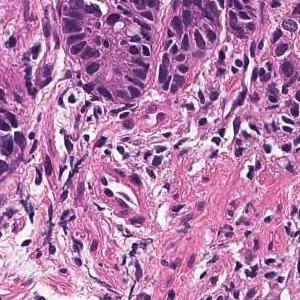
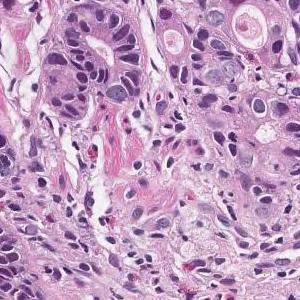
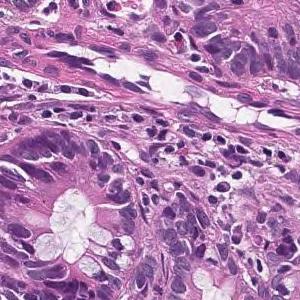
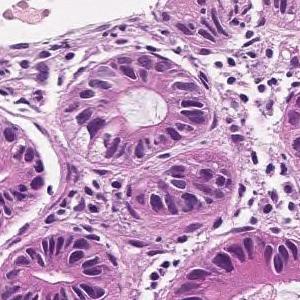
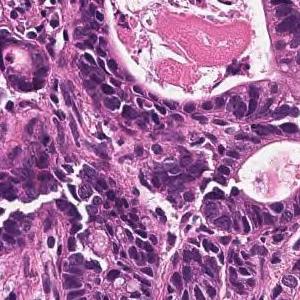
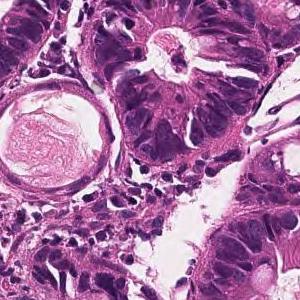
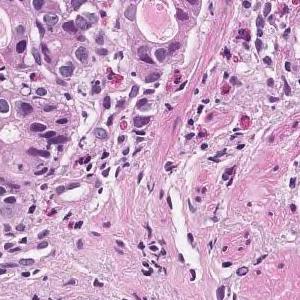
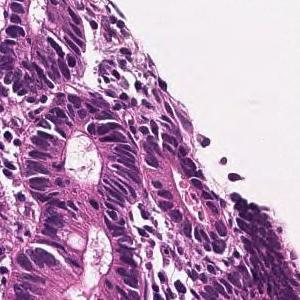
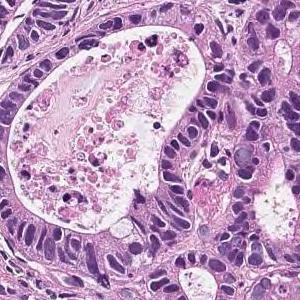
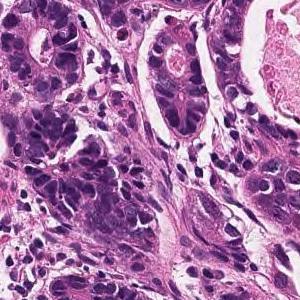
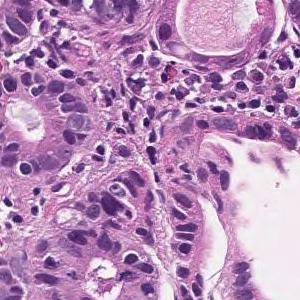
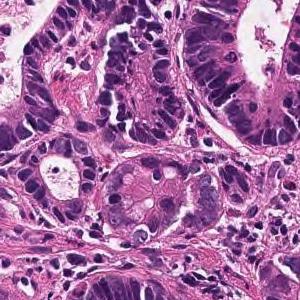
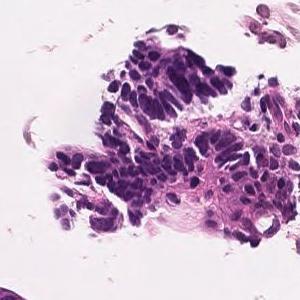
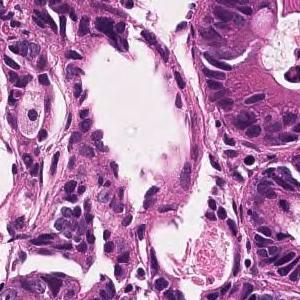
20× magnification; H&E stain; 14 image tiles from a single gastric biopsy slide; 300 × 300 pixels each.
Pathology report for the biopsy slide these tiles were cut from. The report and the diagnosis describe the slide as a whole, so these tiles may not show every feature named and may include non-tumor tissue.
In the superficial epithelium, tumor tissue that invades by forming medium-sized to small, irregular ducts is observed. Well differentiated tubular adenocarcinoma.
